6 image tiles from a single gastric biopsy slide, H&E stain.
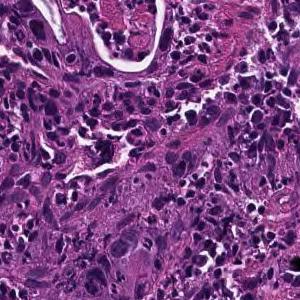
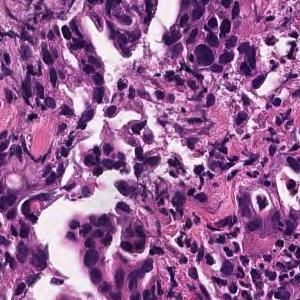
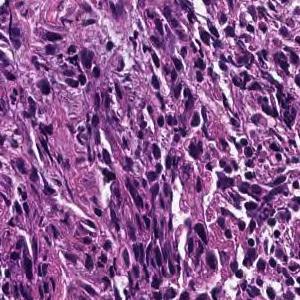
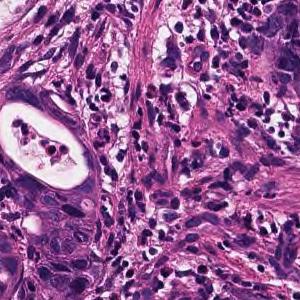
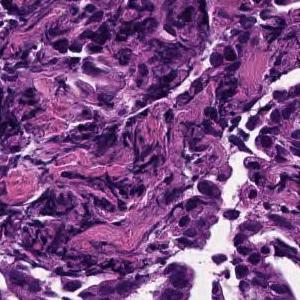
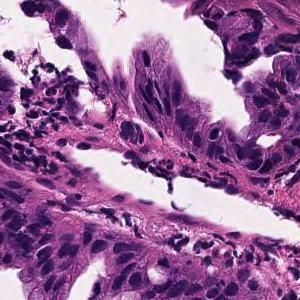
Report on the slide these tiles come from. What the report and the diagnosis say applies to the whole slide; these tiles may miss some of the features named and may include tissue that is not tumor.
In the superficial epithelium, medium-sized to small irregular glandular ducts are formed, and in some cases, the glandular ducts are fused or small cord-like infiltrating tumor tissue is observed. moderately differentiated tubular adenocarcinoma
